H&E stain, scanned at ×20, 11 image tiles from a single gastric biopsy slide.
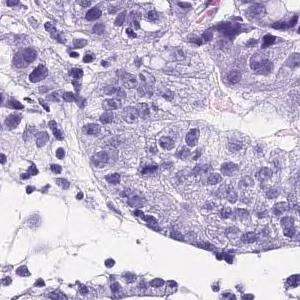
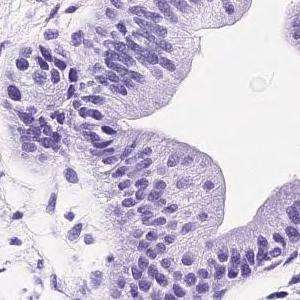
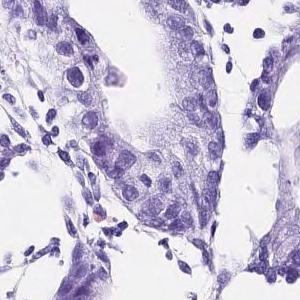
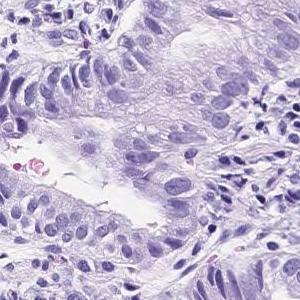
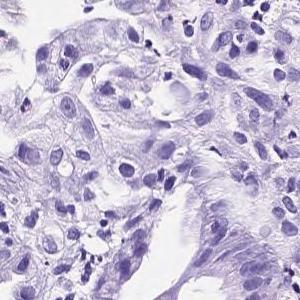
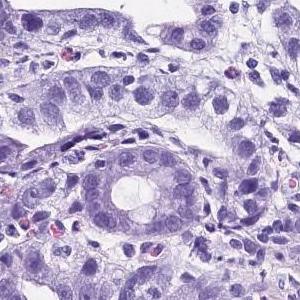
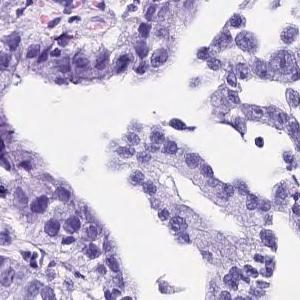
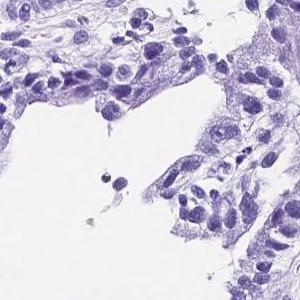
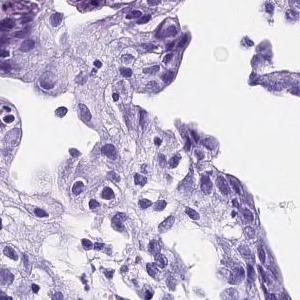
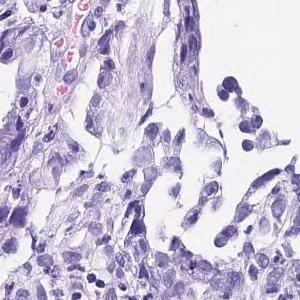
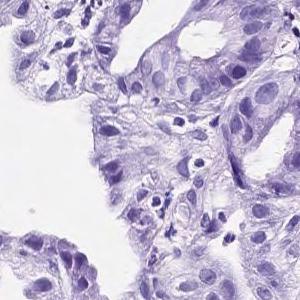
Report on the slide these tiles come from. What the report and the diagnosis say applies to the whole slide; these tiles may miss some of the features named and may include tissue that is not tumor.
Tumor tissue consisting of medium-sized and irregular ducts is observed infiltrating in the superficial epithelium. Tumor cells are highly columnar, with nuclei aligned basolaterally and polarized. Well differentiated tubular adenocarcinoma.
